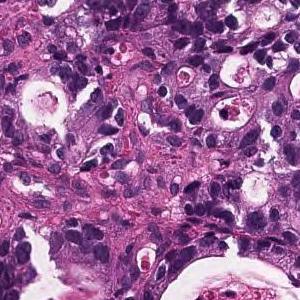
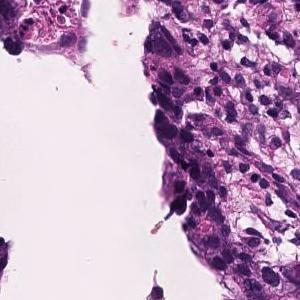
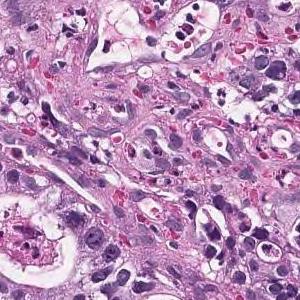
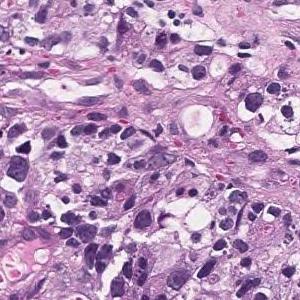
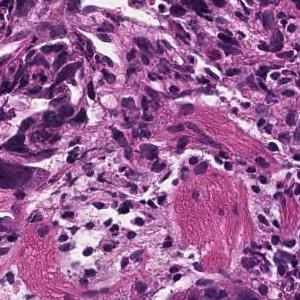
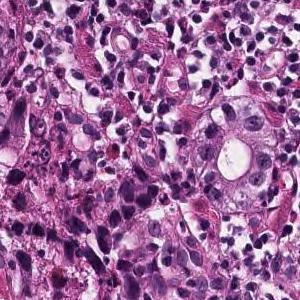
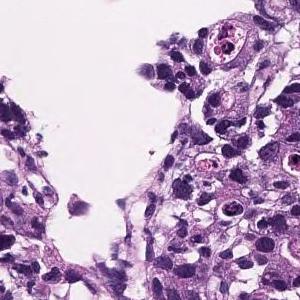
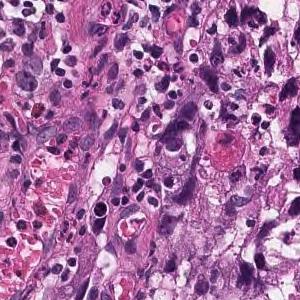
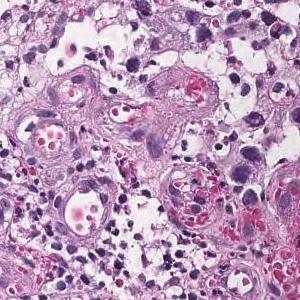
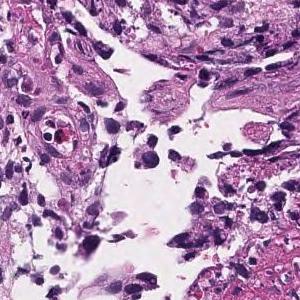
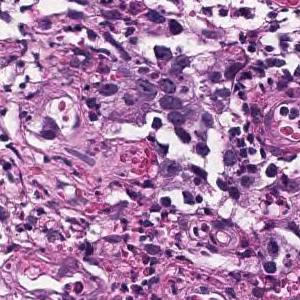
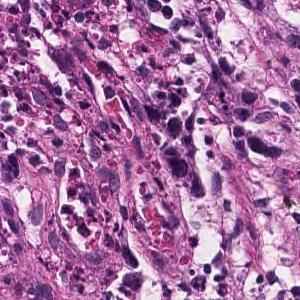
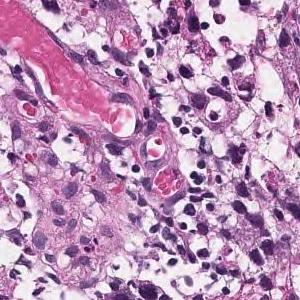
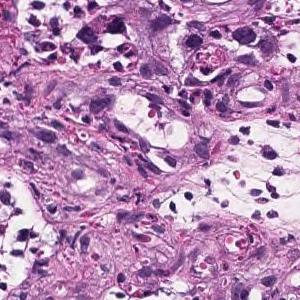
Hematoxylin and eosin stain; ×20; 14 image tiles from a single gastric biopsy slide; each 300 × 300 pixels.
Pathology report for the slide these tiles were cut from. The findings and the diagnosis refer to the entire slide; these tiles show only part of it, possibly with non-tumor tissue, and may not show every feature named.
Tumor tissue consisting of medium-sized, cord-like or irregular glandular infiltration is observed in the superficial epithelium. Poorly differentiated adenocarcinoma, non-solid type or moderately differentiated tubular adenocarcinoma
The term "non-solid type" comes from the Japanese Classification of Gastric Carcinoma.
